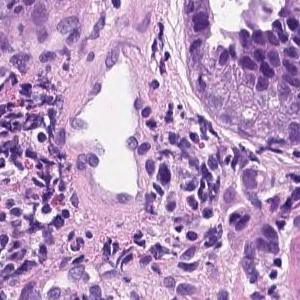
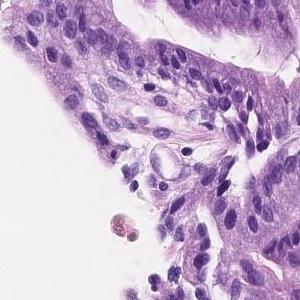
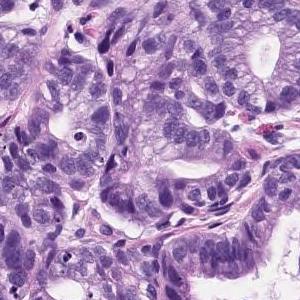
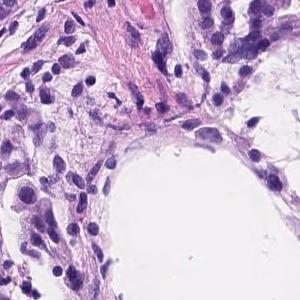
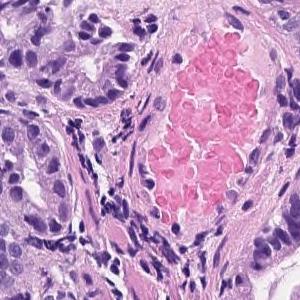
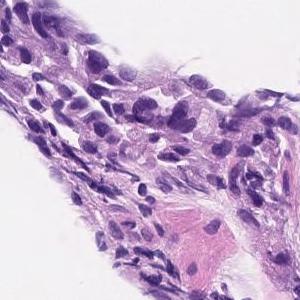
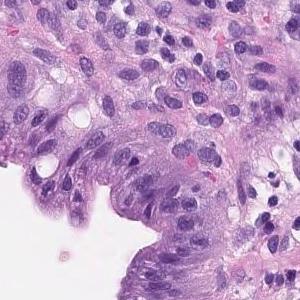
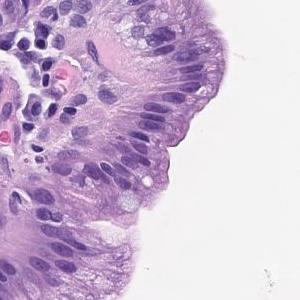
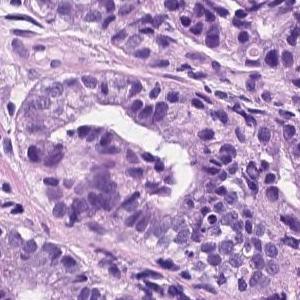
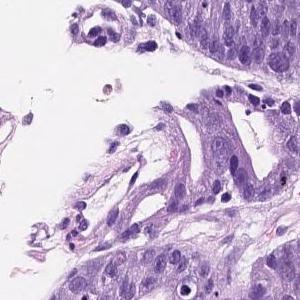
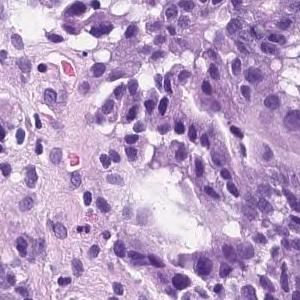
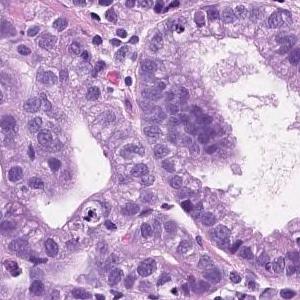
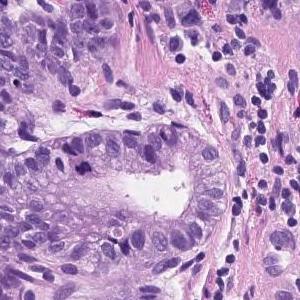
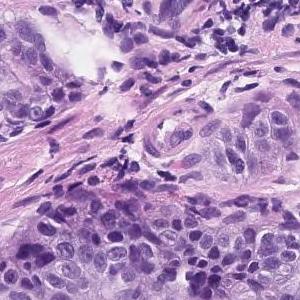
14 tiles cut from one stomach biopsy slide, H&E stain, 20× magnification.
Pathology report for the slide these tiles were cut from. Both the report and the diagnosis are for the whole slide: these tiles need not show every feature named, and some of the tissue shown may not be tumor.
Tumor tissue consisting of medium-sized and irregular ducts is observed infiltrating in the superficial epithelium. Tumor cells are highly columnar, with nuclei aligned basolaterally and polarized. Well differentiated tubular adenocarcinoma.
